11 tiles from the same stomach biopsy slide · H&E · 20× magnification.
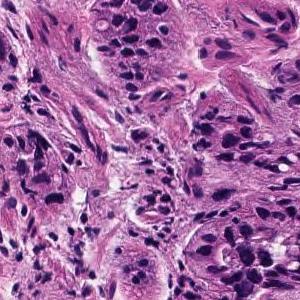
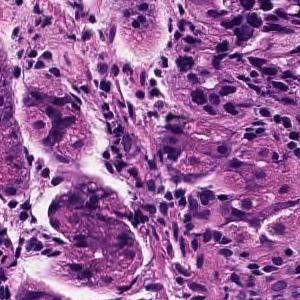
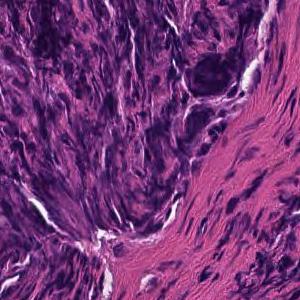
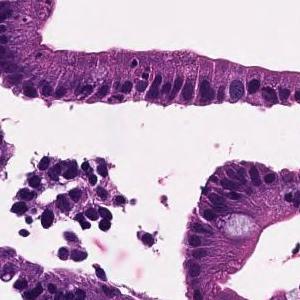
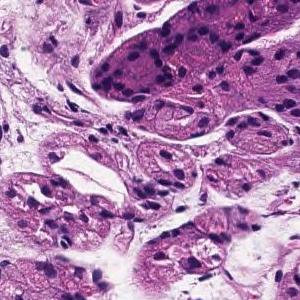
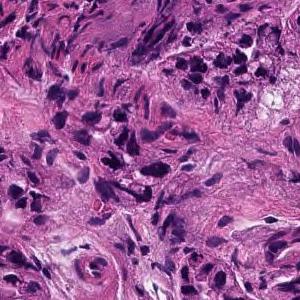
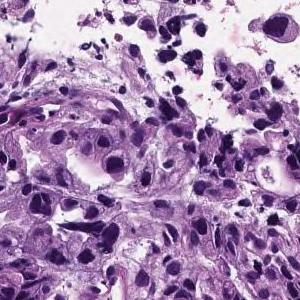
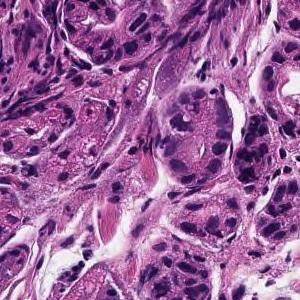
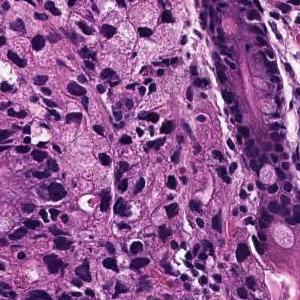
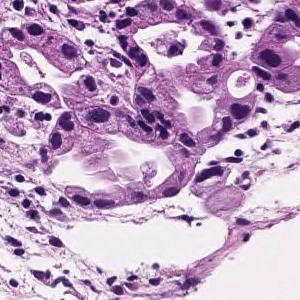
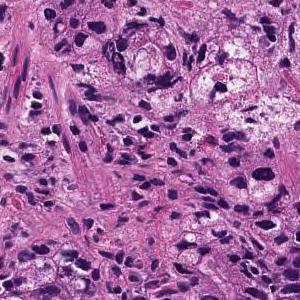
Pathology report for the biopsy slide these tiles were cut from. What the report and the diagnosis say applies to the whole slide; these tiles may miss some of the features named and may include tissue that is not tumor.
In the superficial epithelium, tumor tissue that invades by forming medium-sized to small, irregular ducts is observed. moderately differentiated tubular adenocarcinoma.
